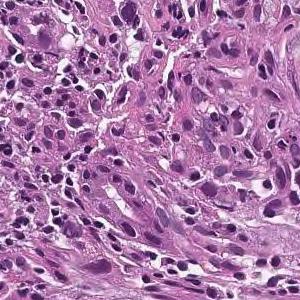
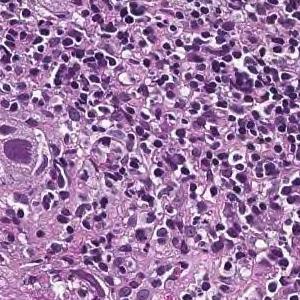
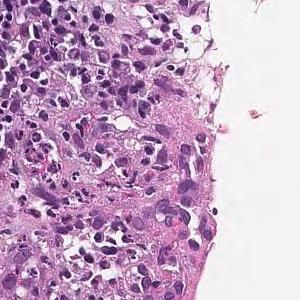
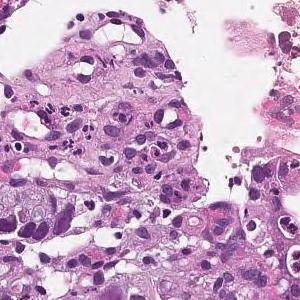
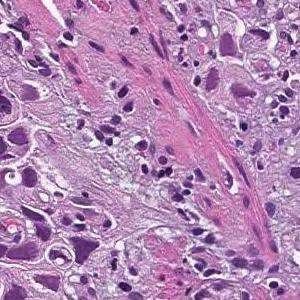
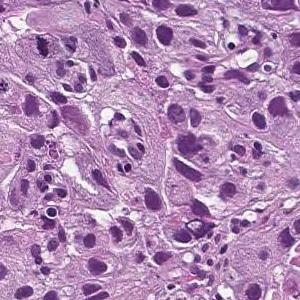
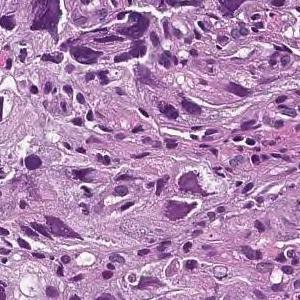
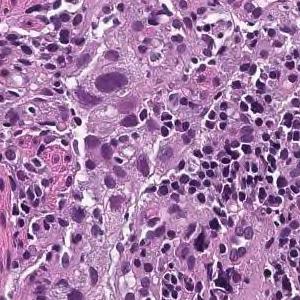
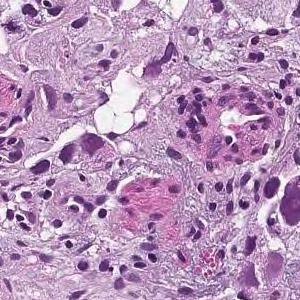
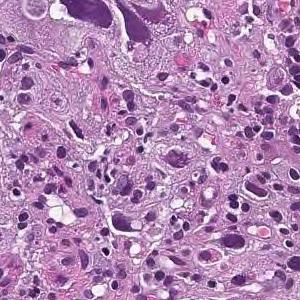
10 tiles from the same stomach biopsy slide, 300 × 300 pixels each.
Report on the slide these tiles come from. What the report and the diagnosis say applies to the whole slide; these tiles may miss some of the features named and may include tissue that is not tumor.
Tumor tissue consisting of cord-like or small irregular glandular ducts fused is observed infiltrating in the superficial epithelium. Poorly differentiated adenocarcinoma, non-solid type
The non-solid type named here is a Japanese Classification of Gastric Carcinoma category.
